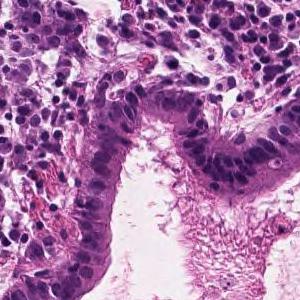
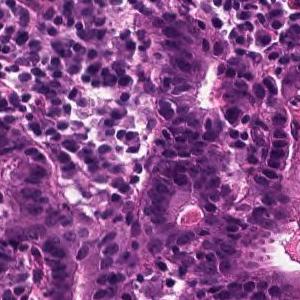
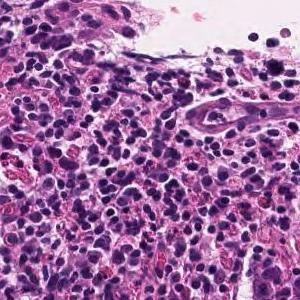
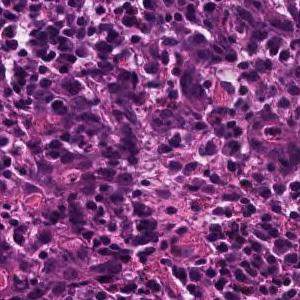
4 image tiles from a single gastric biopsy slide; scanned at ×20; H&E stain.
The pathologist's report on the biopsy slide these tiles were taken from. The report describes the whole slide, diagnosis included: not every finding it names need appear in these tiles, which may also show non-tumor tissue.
Tumor tissue consisting of medium-sized, cord-like or irregular glandular infiltration is observed in the superficial epithelium. Poorly differentiated adenocarcinoma, non-solid type or moderately differentiated tubular adenocarcinoma
The dataset labels this slide poorly differentiated adenocarcinoma, non-solid type.
The non-solid type named here is a Japanese Classification of Gastric Carcinoma category.
